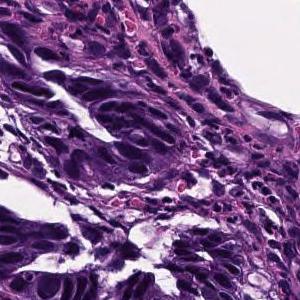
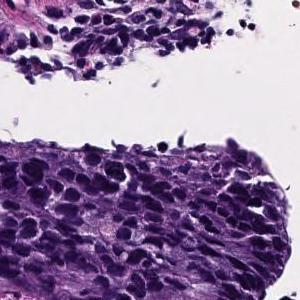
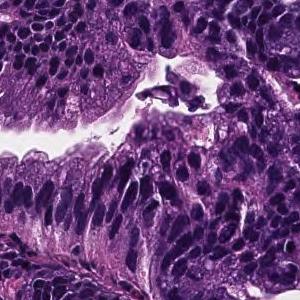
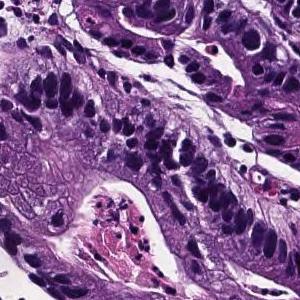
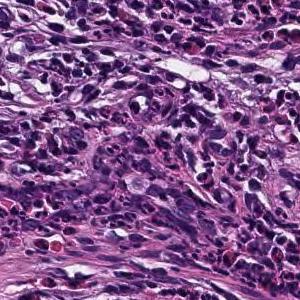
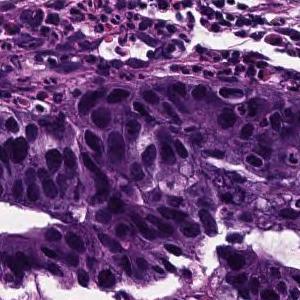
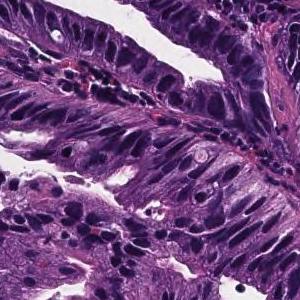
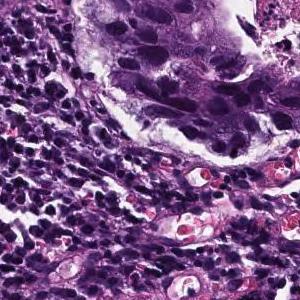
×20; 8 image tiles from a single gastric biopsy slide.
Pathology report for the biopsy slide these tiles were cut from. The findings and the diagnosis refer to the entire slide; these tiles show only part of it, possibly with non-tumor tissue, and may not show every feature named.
In the superficial epithelium, tumor tissue that invades by forming medium-sized to small, irregular ducts is observed. Moderately differentiated adenocarcinoma.
Histologic type: Moderately differentiated tubular adenocarcinoma.
